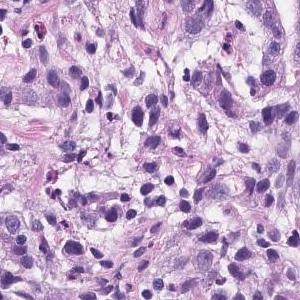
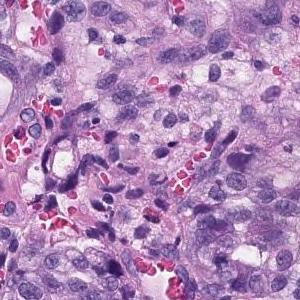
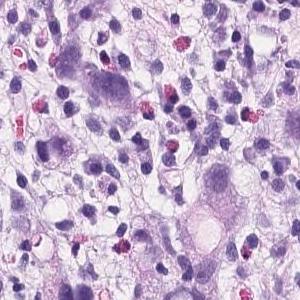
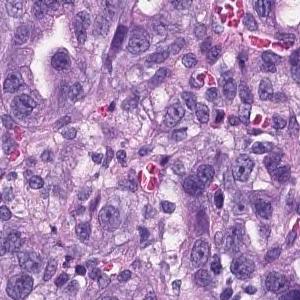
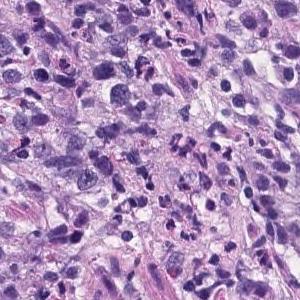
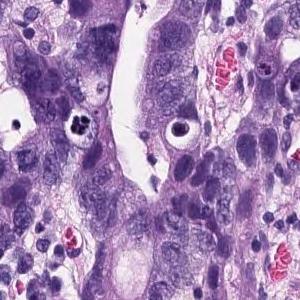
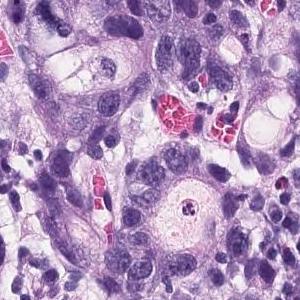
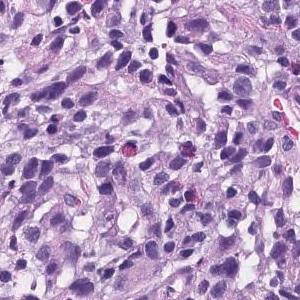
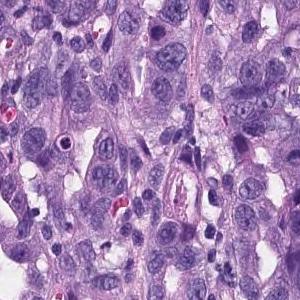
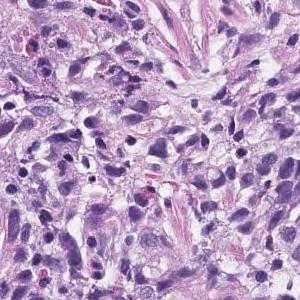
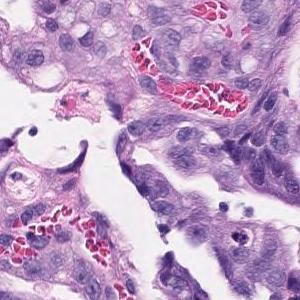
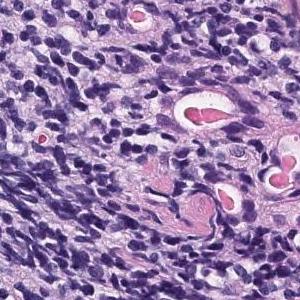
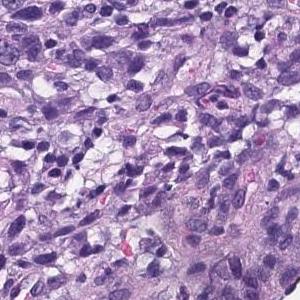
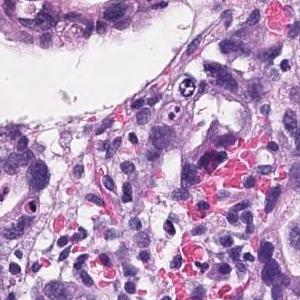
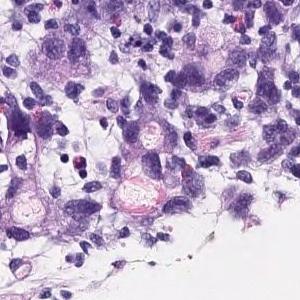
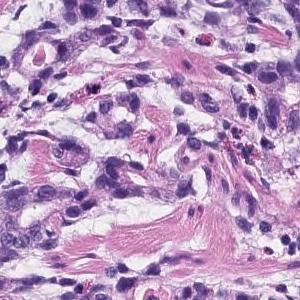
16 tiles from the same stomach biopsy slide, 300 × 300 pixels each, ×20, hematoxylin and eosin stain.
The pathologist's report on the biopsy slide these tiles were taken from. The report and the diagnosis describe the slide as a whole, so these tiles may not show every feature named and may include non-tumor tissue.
There are atypical l cells with atypical nuclei forming cord-like or irregular atypical ducts from solidity and proliferating in a comprehensive manner. Poorly differentiated adenocarcinoma, Moderately differentiated adenocarcinoma (poorly differentiated adenocarcinoma, solid type moderately differentiated tubular adenocarcinoma)
Tumor subtype: moderately to poorly differentiated adenocarcinoma.
"Solid type" is a category of the Japanese Classification of Gastric Carcinoma; in the WHO 2019 classification it is tubular adenocarcinoma, poorly differentiated.
